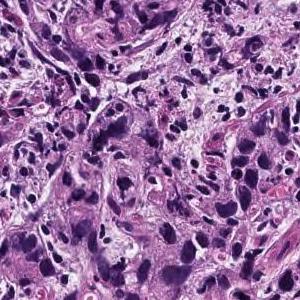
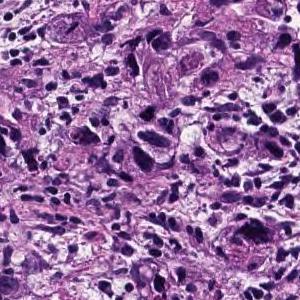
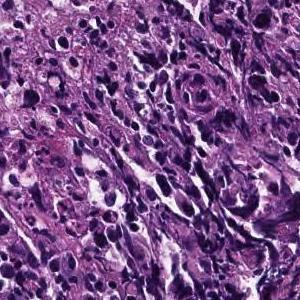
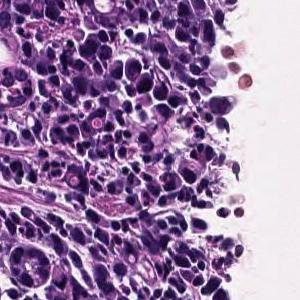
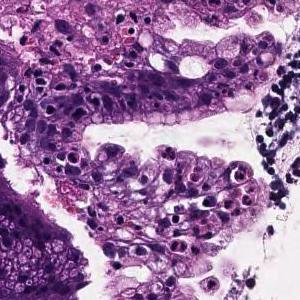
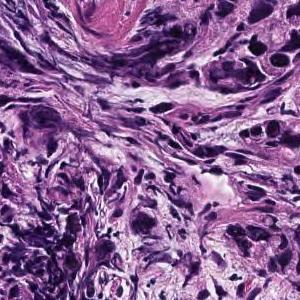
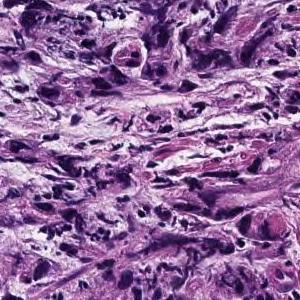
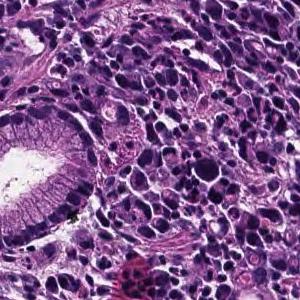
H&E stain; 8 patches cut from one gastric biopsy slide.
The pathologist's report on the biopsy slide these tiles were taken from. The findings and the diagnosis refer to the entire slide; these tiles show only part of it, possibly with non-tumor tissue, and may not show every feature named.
The superficial epithelium shows a large sheet-like shape, and some tumor tissue infiltrates with small irregular ducts. Poorly differentiated adenocarcinoma, solid-type
Histological subtype: Poorly differentiated adenocarcinoma, solid type. This name comes from the Japanese Classification of Gastric Carcinoma; the WHO 2019 classification calls it tubular adenocarcinoma, poorly differentiated.
